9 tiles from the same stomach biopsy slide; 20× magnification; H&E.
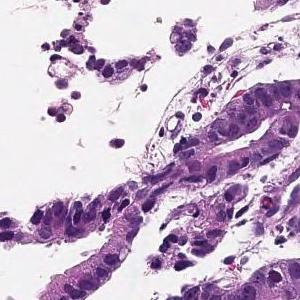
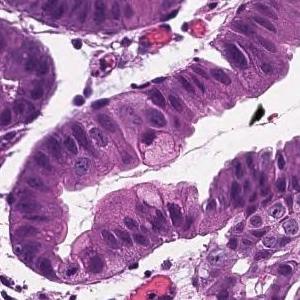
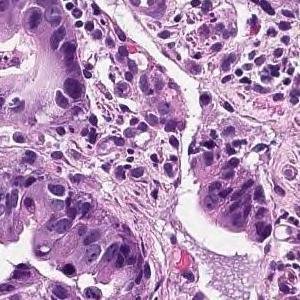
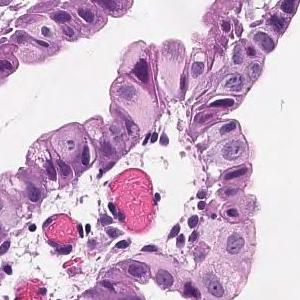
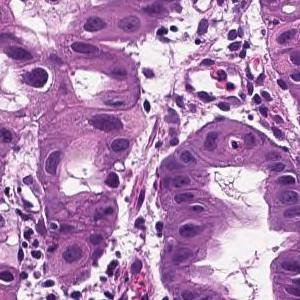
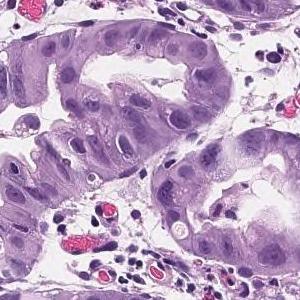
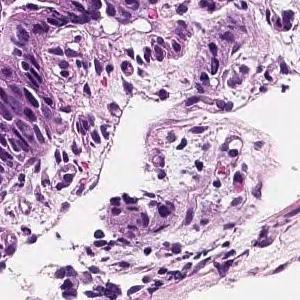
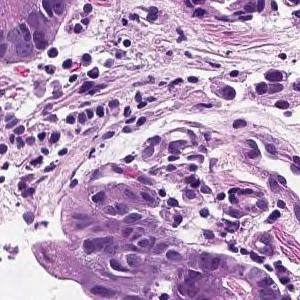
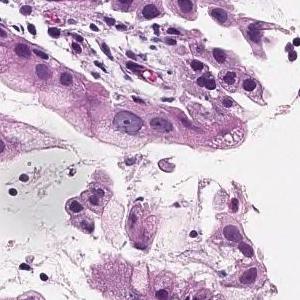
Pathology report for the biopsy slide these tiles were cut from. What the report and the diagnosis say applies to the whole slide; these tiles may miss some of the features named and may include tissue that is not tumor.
On the superficial epithelium, tumor tissue that infiltrates by forming medium-sized papillary or small irregular ducts is observed. Papillary adenocarcinoma
